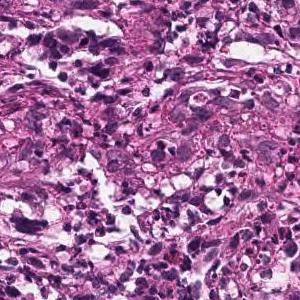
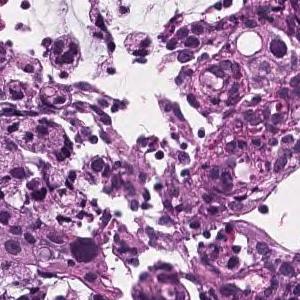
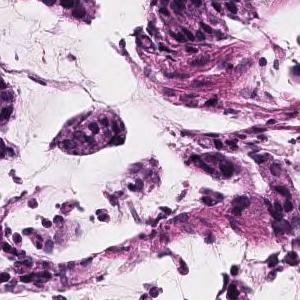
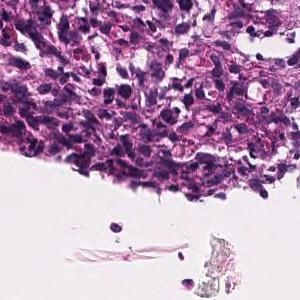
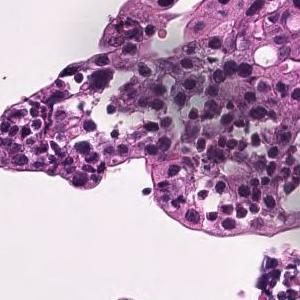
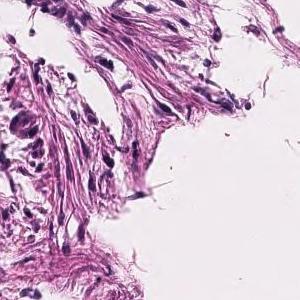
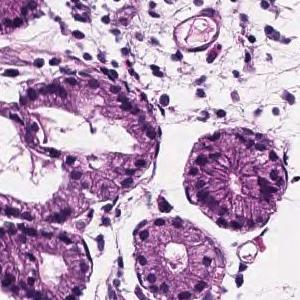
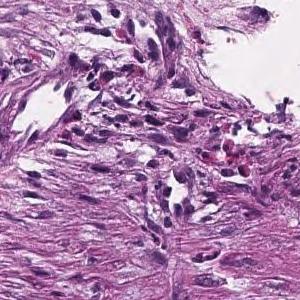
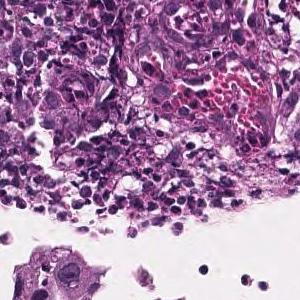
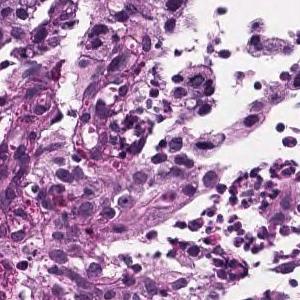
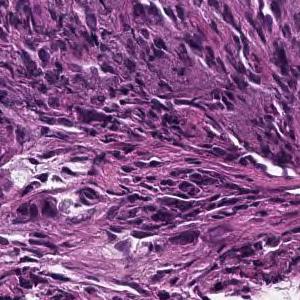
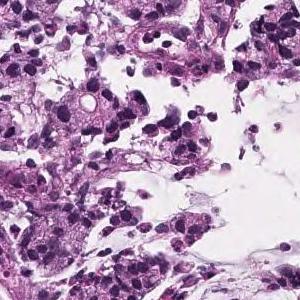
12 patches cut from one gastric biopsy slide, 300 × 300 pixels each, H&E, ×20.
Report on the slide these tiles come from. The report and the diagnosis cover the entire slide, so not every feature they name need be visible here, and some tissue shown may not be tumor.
Atypical epithelial cells form obscure ductal structures or small solid follicles, and tumor tissue that proliferates invasively with proliferation of inflammatory granulation tissue is observed. Mucinous adenocarcinoma .
